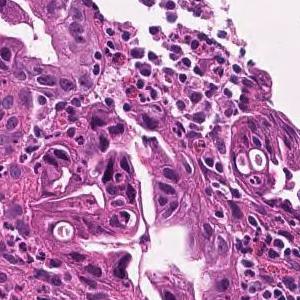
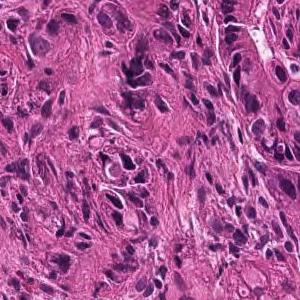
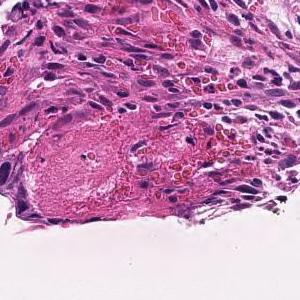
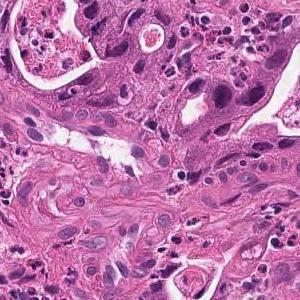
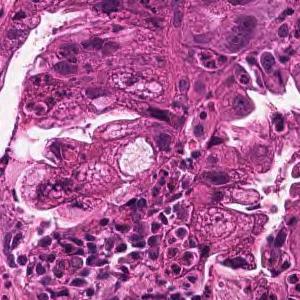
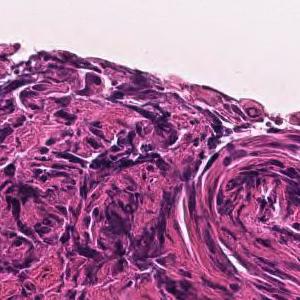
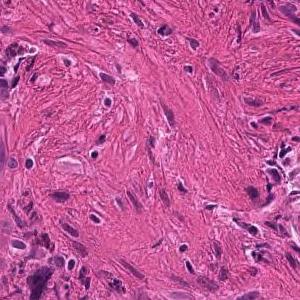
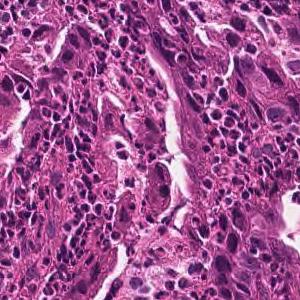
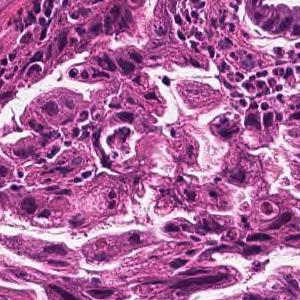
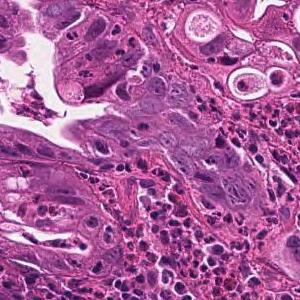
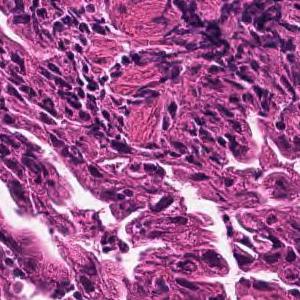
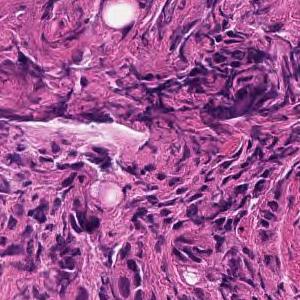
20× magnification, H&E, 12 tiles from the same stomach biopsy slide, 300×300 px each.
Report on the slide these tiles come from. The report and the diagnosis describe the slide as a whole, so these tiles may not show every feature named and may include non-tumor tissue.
Medium to small, irregular glandular ducts are formed in the superficial epithelium, and in some cases, the glandular ducts are fused to show solid alveolar lesions and infiltrating tumor tissue is observed. Moderately to poorly differentiated adenocarcinoma.
